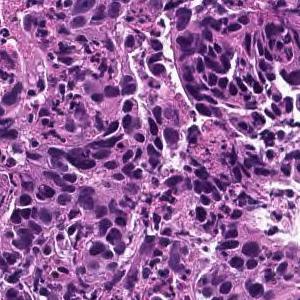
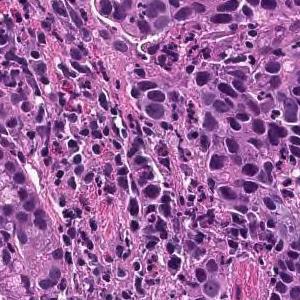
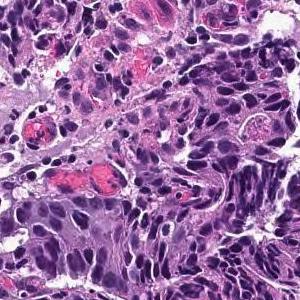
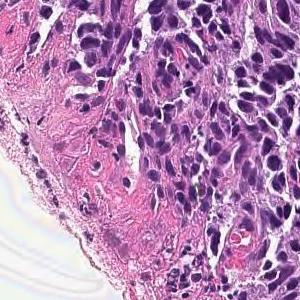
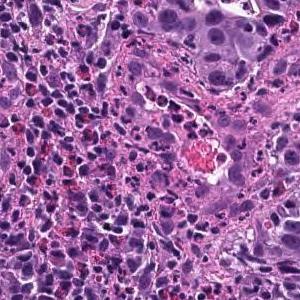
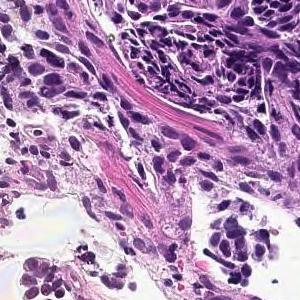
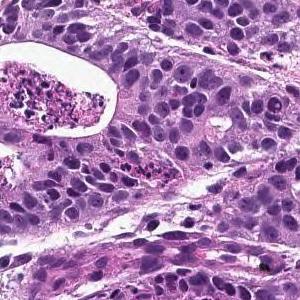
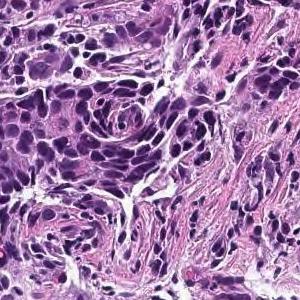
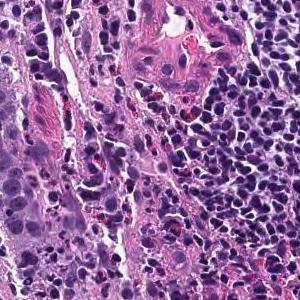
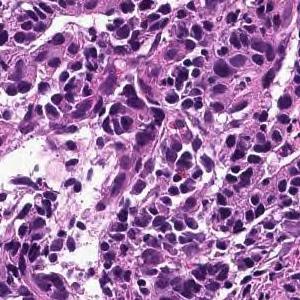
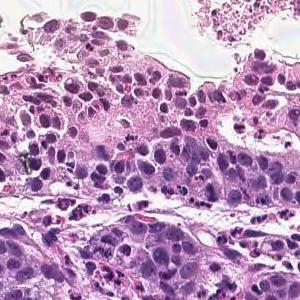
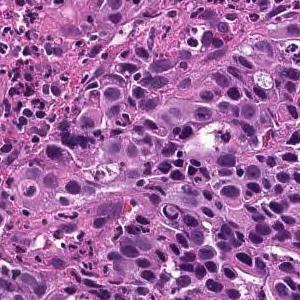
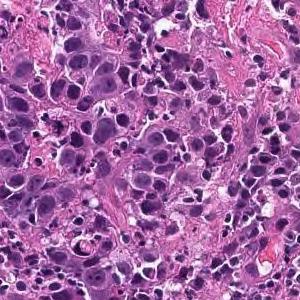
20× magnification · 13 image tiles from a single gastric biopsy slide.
Diagnostic report for the slide these tiles come from. The report and the diagnosis describe the slide as a whole, so these tiles may not show every feature named and may include non-tumor tissue.
In the superficial epithelium, tumor tissue that invades by forming medium-sized to small, irregular ducts is observed. moderately differentiated tubular adenocarcinoma.
